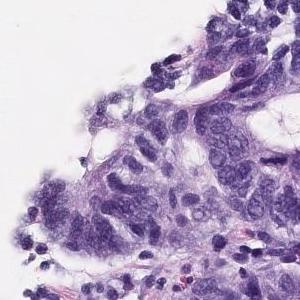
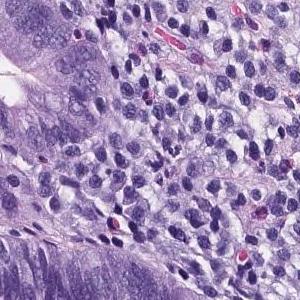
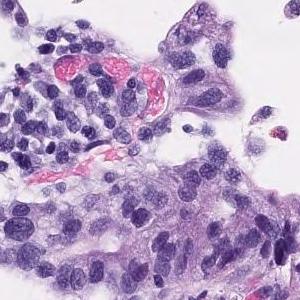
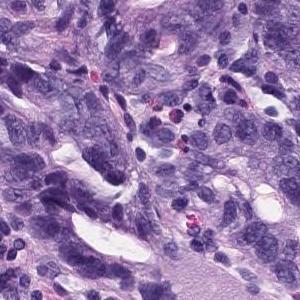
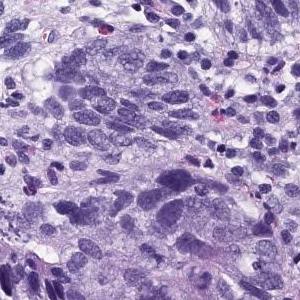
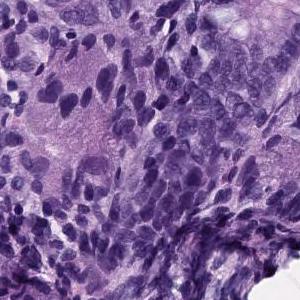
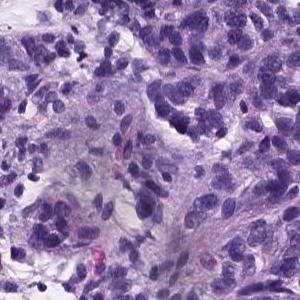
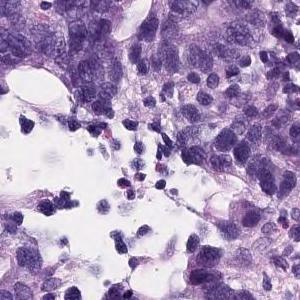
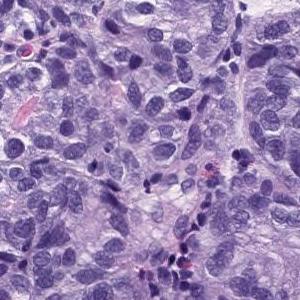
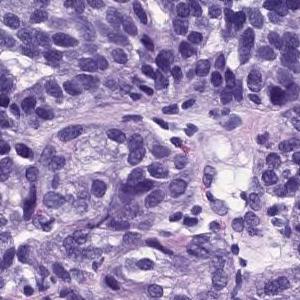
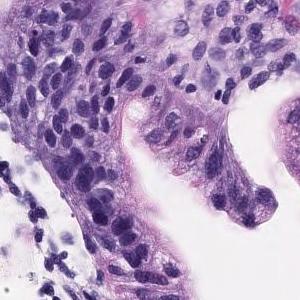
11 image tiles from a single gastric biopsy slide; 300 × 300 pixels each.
Pathology report for the slide these tiles were cut from. The findings and the diagnosis refer to the entire slide; these tiles show only part of it, possibly with non-tumor tissue, and may not show every feature named.
In the superficial epithelium, tumor tissue that invades by forming medium-sized to small, irregular ducts is observed. Moderately differentiated adenocarcinoma.
Subtype: Moderately differentiated tubular adenocarcinoma.
